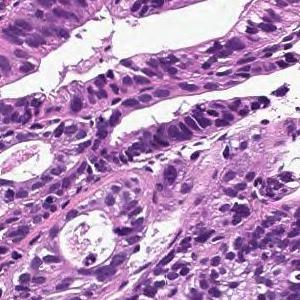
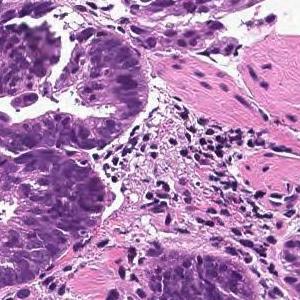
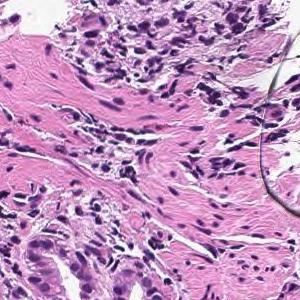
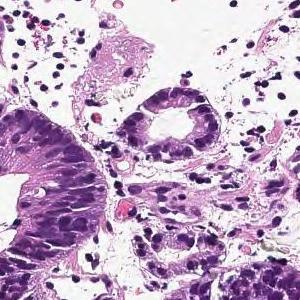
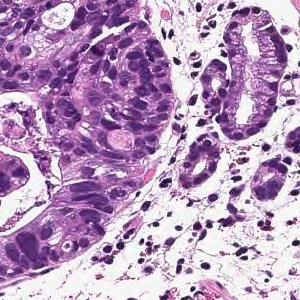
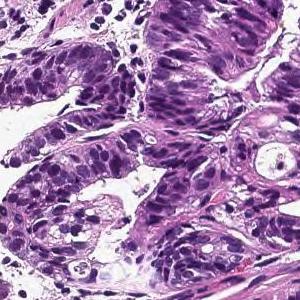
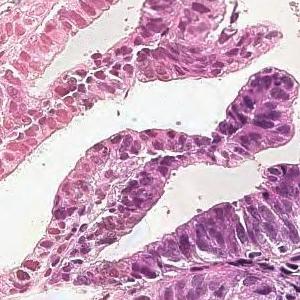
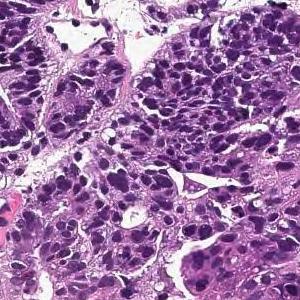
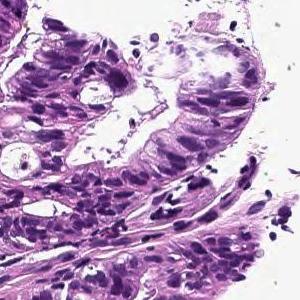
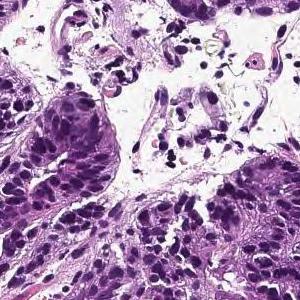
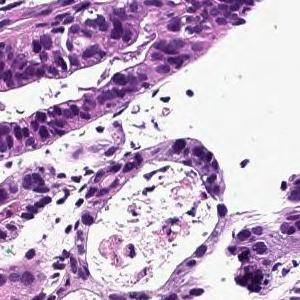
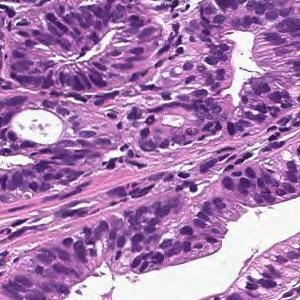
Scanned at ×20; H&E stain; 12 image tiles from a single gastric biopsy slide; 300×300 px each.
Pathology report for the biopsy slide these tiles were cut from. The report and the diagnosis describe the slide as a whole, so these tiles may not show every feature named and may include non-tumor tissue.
On the superficial epithelium, tumor tissue consisting of large, irregular glandular ducts partially fused and infiltrated is observed. Well to moderately differentiated tubular adenocarcinoma (well differentiated tubular adenocarcinoma, moderately differentiated tubular adenocarcinoma)
Histological subtype: Well to moderately differentiated tubular adenocarcinoma.
